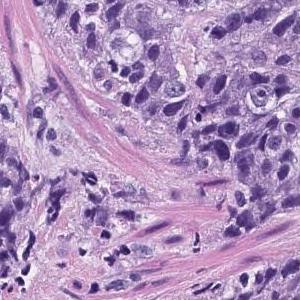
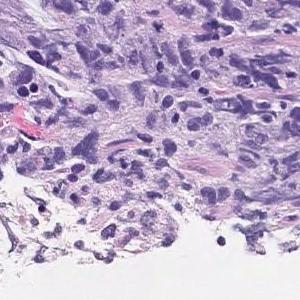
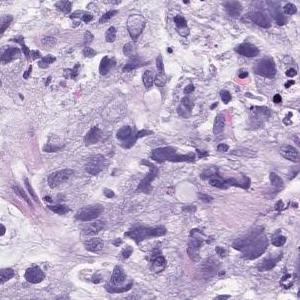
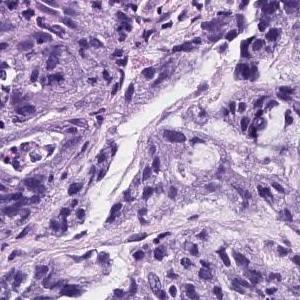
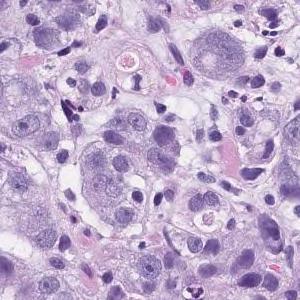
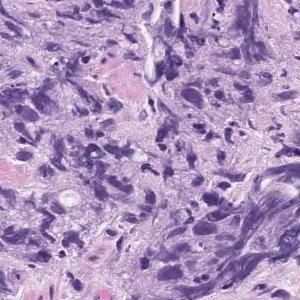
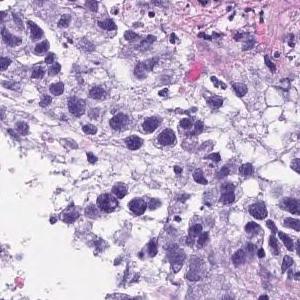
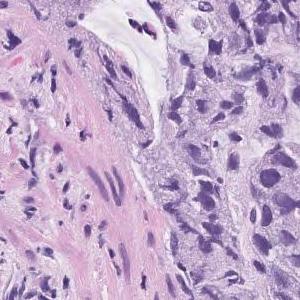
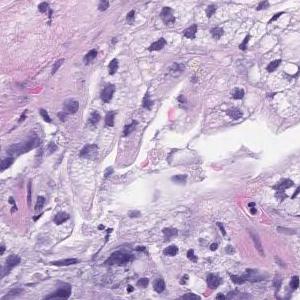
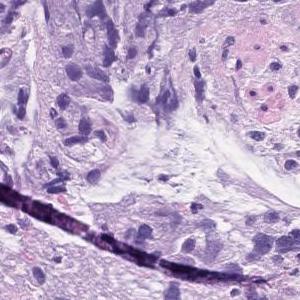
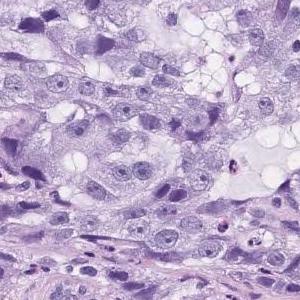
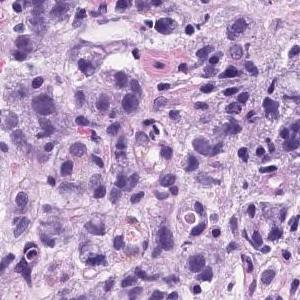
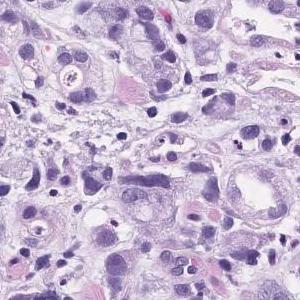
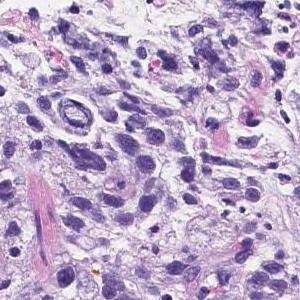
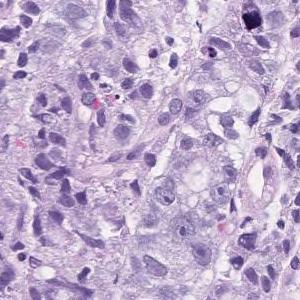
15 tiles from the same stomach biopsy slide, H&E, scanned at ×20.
Pathology report for the slide these tiles were cut from. The report and the diagnosis describe the slide as a whole, so these tiles may not show every feature named and may include non-tumor tissue.
Atypical l cells with atypical nuclei forming solid vesicles or small irregular atypical ducts that proliferate in a complex manner. poorly differentiated adenocarcinoma, solid type, moderately differentiated tubular adenocarcinoma
The term "solid type" comes from the Japanese Classification of Gastric Carcinoma; the WHO 2019 equivalent is tubular adenocarcinoma, poorly differentiated.
